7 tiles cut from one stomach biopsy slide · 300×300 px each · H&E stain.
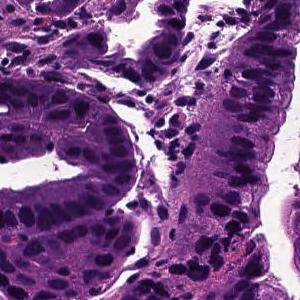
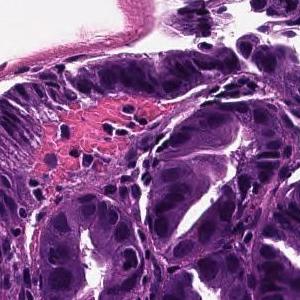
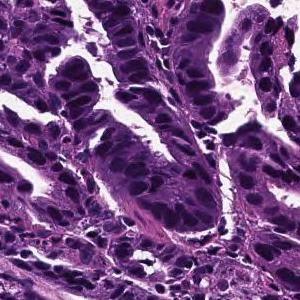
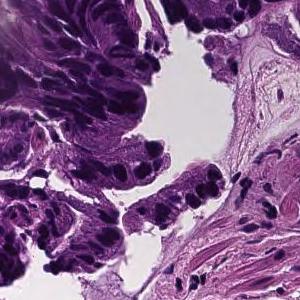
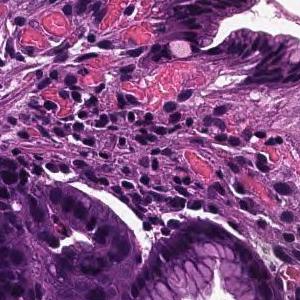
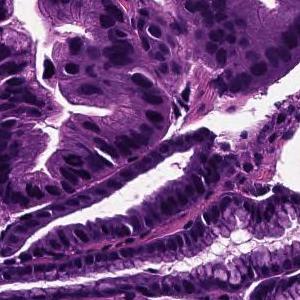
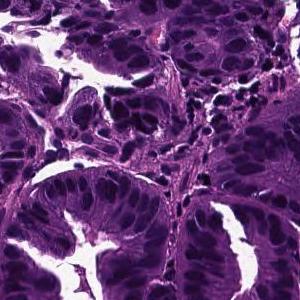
The pathologist's report on the biopsy slide these tiles were taken from. The report and the diagnosis describe the slide as a whole, so these tiles may not show every feature named and may include non-tumor tissue.
From the superficial epithelium to the muscularis mucosae, tumor tissue consisting of medium-sized and irregular glandular ducts infiltrating is observed. Well differentiated tubular adenocarcinoma
